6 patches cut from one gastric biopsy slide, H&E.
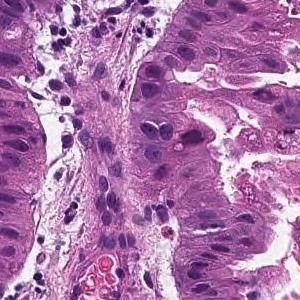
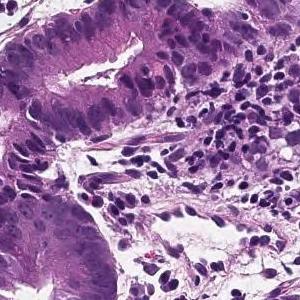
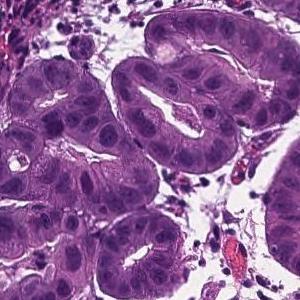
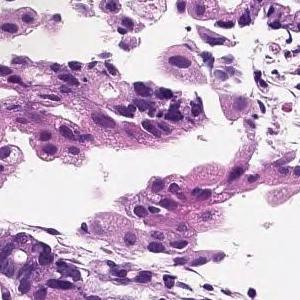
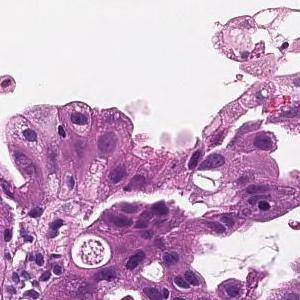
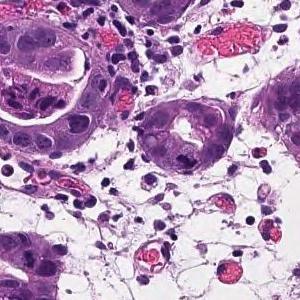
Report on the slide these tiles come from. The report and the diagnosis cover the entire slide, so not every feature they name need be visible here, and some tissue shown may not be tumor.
On the superficial epithelium, tumor tissue that infiltrates by forming medium-sized papillary or small irregular ducts is observed. Papillary adenocarcinoma
